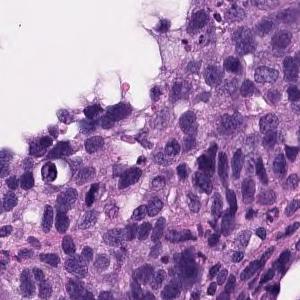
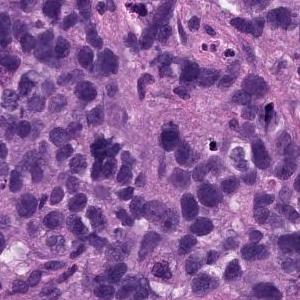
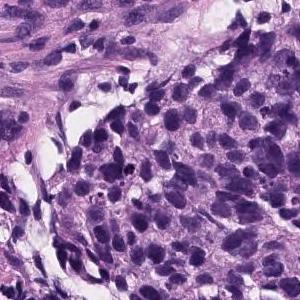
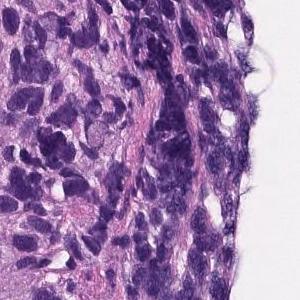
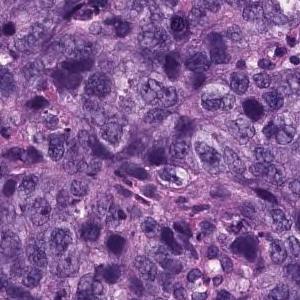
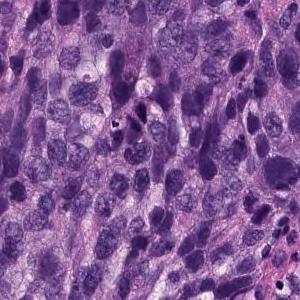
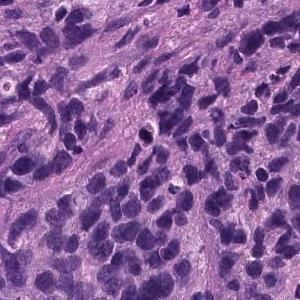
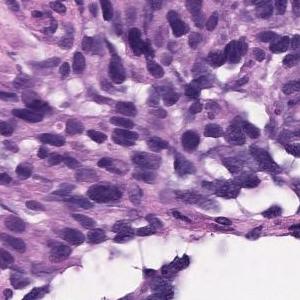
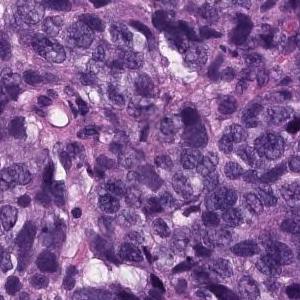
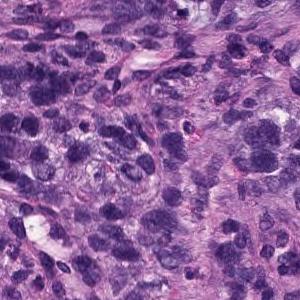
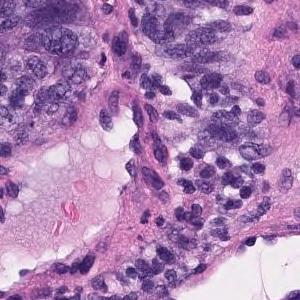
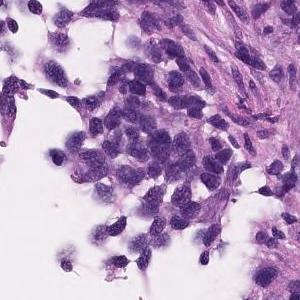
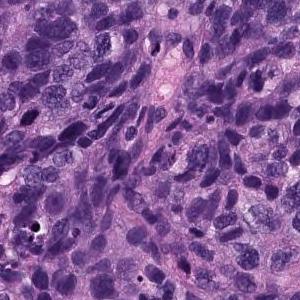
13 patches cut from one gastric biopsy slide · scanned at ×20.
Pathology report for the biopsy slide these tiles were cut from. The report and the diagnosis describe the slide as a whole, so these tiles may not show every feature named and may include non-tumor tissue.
Atypical l cells with atypical nuclei under the mucosa growing in isolation and scattered. Poorly differentiated adenocarcinoma (poorly differentiated adenocarcinoma, non-solid type)
Histological subtype: Poorly differentiated adenocarcinoma, non-solid type.
"Non-solid type" is a category of the Japanese Classification of Gastric Carcinoma.
